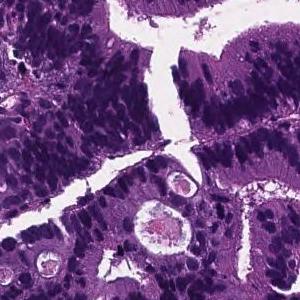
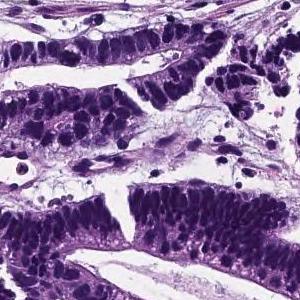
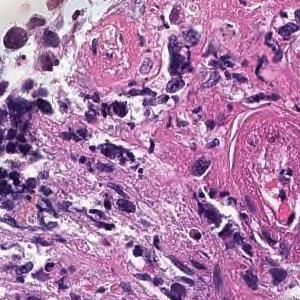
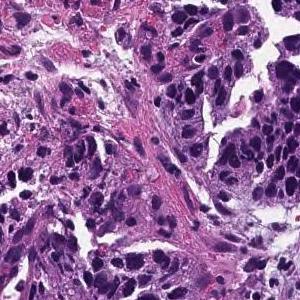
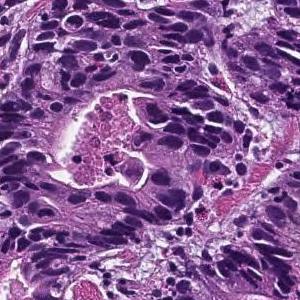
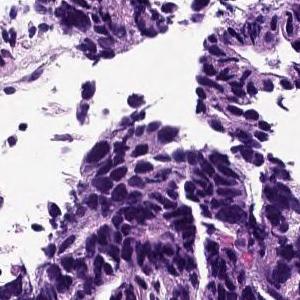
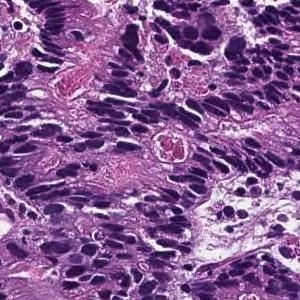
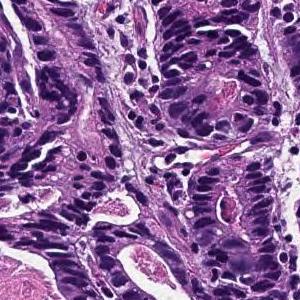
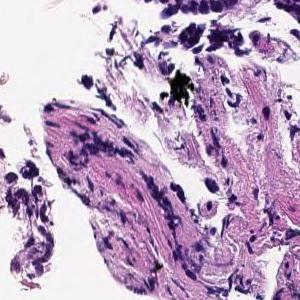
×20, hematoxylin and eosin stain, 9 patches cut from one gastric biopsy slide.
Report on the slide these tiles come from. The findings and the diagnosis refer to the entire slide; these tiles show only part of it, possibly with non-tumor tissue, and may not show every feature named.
From the superficial epithelium to the muscularis mucosae, tumor tissue consisting of medium-sized and irregular glandular ducts infiltrating is observed. Well differentiated tubular adenocarcinoma
